4 tiles cut from one stomach biopsy slide, each 300 × 300 pixels, scanned at ×20, hematoxylin and eosin stain.
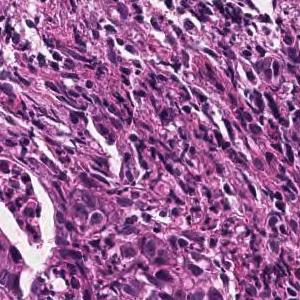
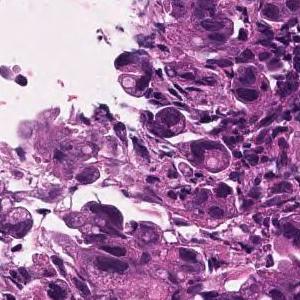
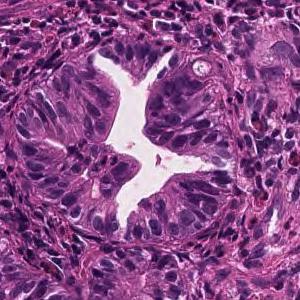
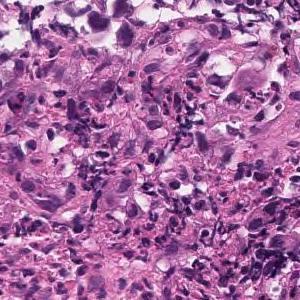
Pathology report for the slide these tiles were cut from. The report and the diagnosis cover the entire slide, so not every feature they name need be visible here, and some tissue shown may not be tumor.
Tumor tissue consisting of medium-sized, cord-like or irregular glandular infiltration is observed in the superficial epithelium. Poorly differentiated adenocarcinoma, non-solid type or moderately differentiated tubular adenocarcinoma
"Non-solid type" is a category of the Japanese Classification of Gastric Carcinoma.
